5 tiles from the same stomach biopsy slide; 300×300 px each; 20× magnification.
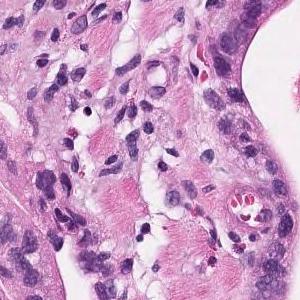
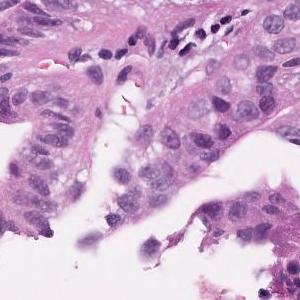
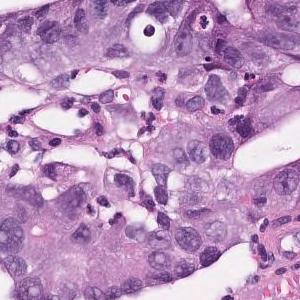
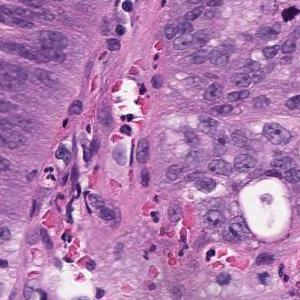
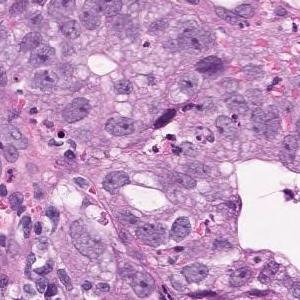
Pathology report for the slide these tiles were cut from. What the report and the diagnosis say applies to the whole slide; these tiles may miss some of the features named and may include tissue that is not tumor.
On the superficial epithelium, tumor tissue consisting of medium to small irregular tubules partially fused and proliferated is observed. Well differentiated tubular adenocarcinoma
